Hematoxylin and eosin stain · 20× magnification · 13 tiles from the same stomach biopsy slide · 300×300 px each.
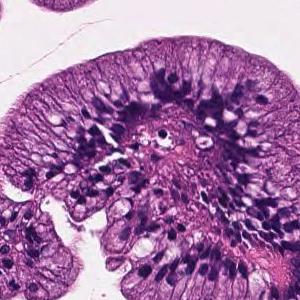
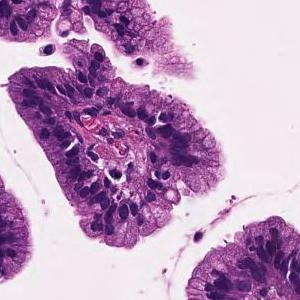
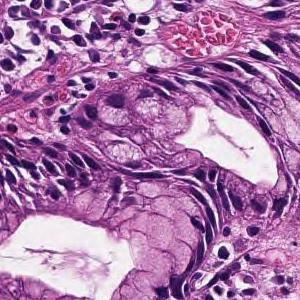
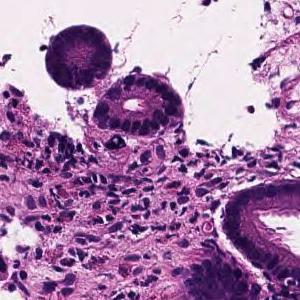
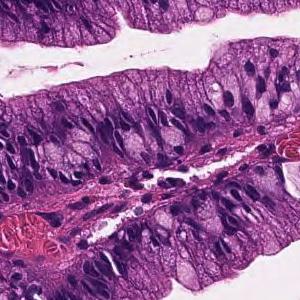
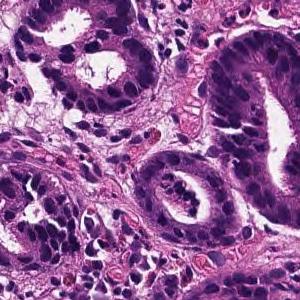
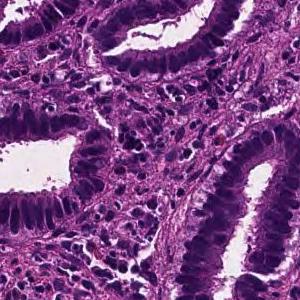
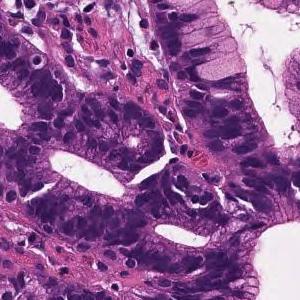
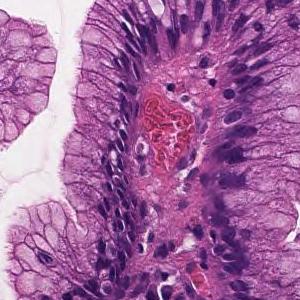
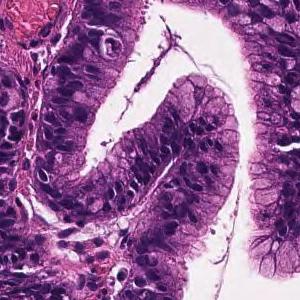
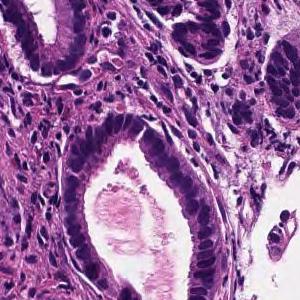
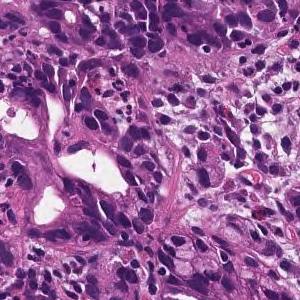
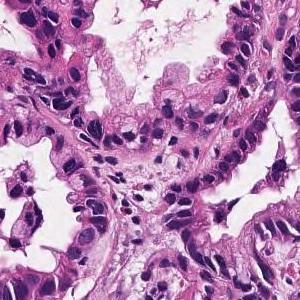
The pathologist's report on the biopsy slide these tiles were taken from. The findings and the diagnosis refer to the entire slide; these tiles show only part of it, possibly with non-tumor tissue, and may not show every feature named.
On the superficial epithelium, tumor tissue consisting of medium-sized and irregular glandular ducts partially fused and infiltrated is observed. Well to moderately differentiated tubular adenocarcinoma (well differentiated tubular adenocarcinoma-moderately differentiated tubular adenocarcinoma)
Histological subtype: Well to moderately differentiated tubular adenocarcinoma.
